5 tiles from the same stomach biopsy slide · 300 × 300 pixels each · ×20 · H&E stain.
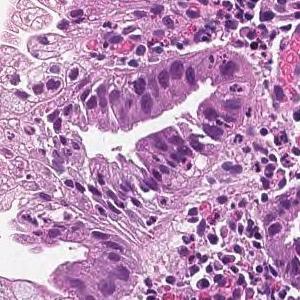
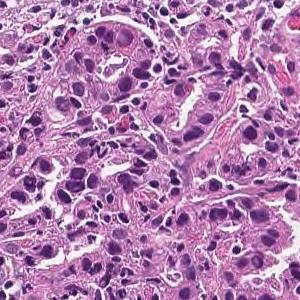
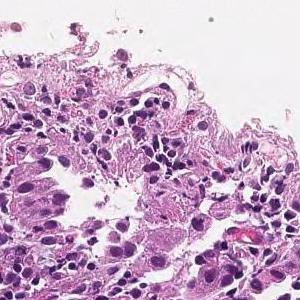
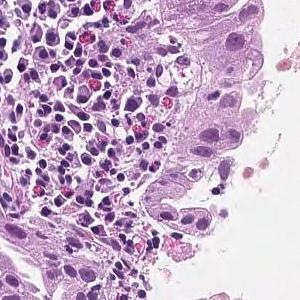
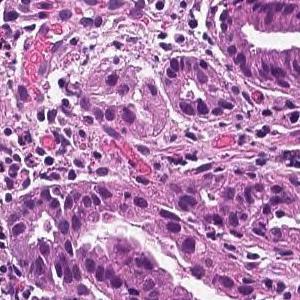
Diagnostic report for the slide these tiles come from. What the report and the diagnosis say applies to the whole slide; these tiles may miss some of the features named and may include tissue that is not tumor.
On the superficial epithelium, tumor tissue consisting of large irregular glandular ducts partially fused and infiltrated is observed. Well to moderately differentiated tubular adenocarcinoma (well differentiated tubular adenocarcinoma, moderately differentiated tubular adenocarcinoma)
Tumor subtype: well to moderately differentiated tubular adenocarcinoma.
